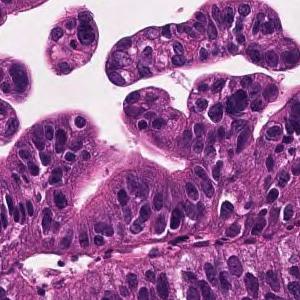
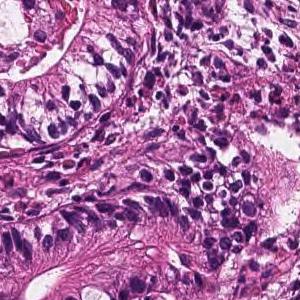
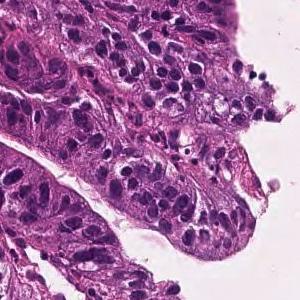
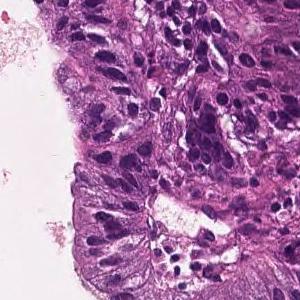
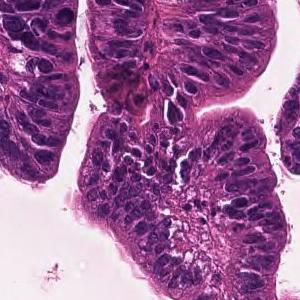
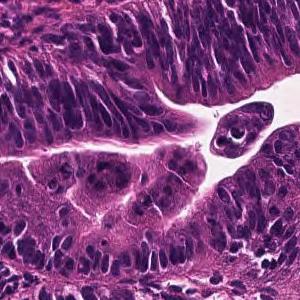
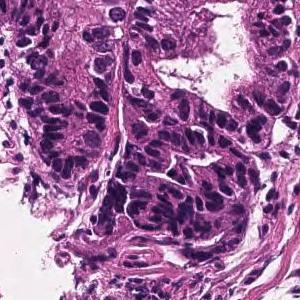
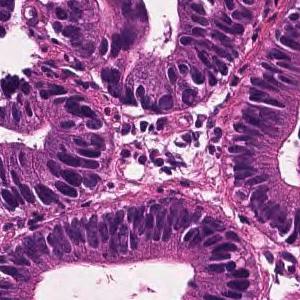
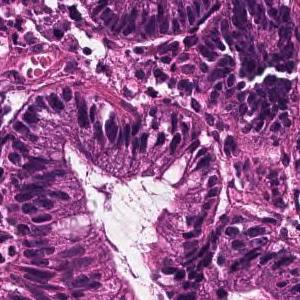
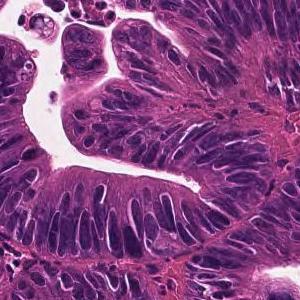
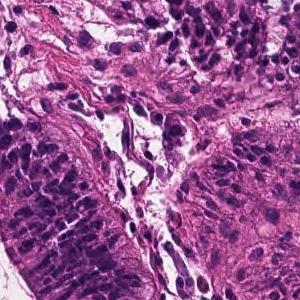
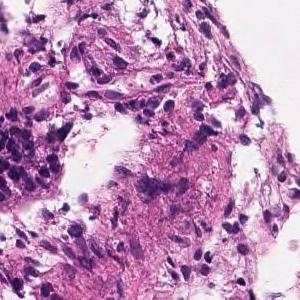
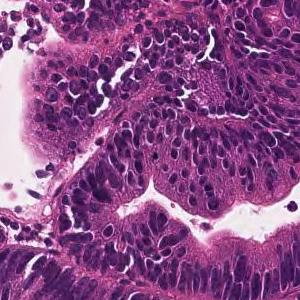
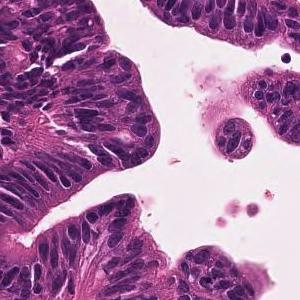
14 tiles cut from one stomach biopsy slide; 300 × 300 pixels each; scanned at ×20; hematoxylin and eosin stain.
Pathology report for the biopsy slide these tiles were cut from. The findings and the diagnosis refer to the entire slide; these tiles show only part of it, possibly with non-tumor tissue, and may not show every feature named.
A large irregular tubular structure is exhibited in the epithelium, and tumor tissue that partially fuses and infiltrates and proliferates is observed. Large columnar tumor cells exhibit enlarged nucleus, hyperchromatism, and mitotic figures. Well differentiated tubular adenocarcinoma
